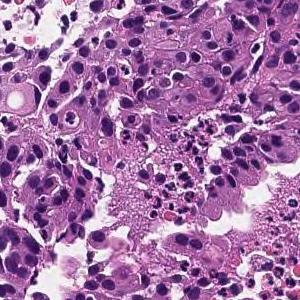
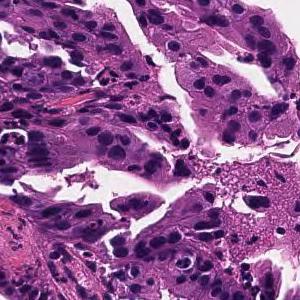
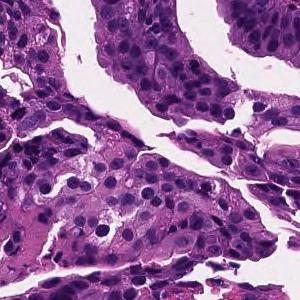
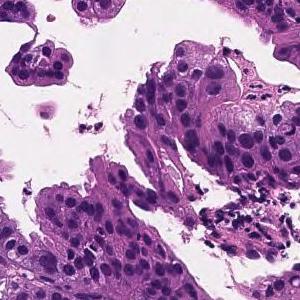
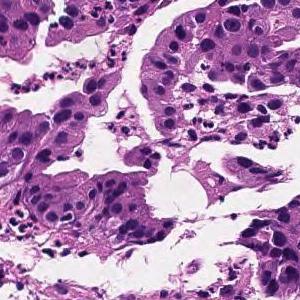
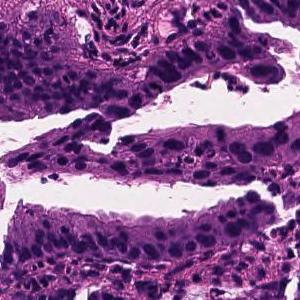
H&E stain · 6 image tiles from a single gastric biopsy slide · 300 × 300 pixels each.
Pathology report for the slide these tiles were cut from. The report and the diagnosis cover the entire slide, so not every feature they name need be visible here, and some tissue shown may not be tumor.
On the superficial epithelium, tumor tissue consisting of large, irregular glandular ducts partially fused and infiltrated is observed. Well to moderately differentiated tubular adenocarcinoma (well differentiated tubular adenocarcinoma, moderately differentiated tubular adenocarcinoma)
Subtype: Well to moderately differentiated tubular adenocarcinoma.
